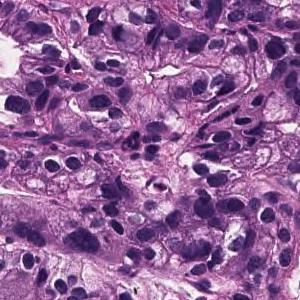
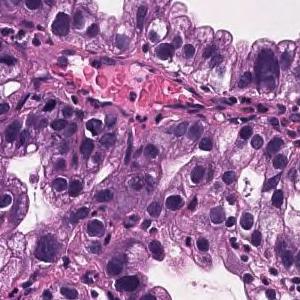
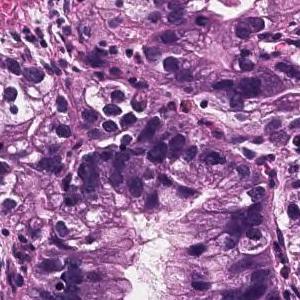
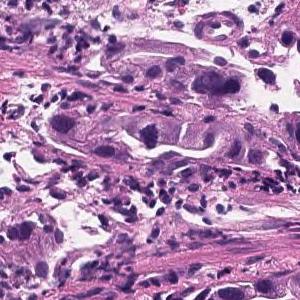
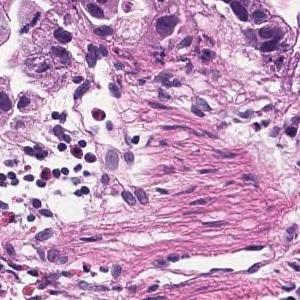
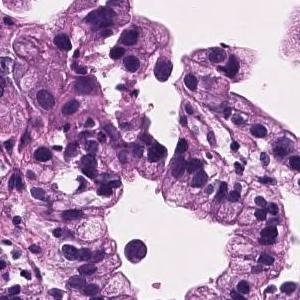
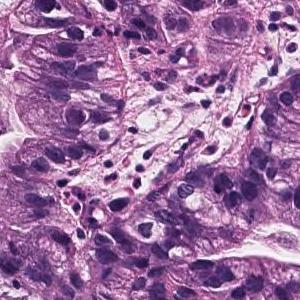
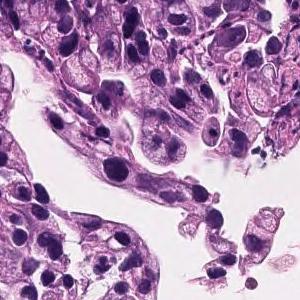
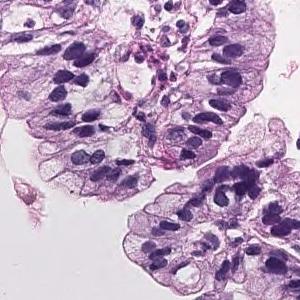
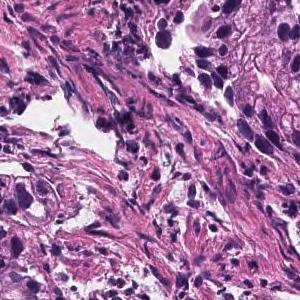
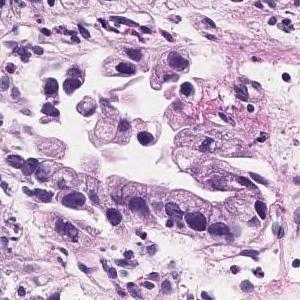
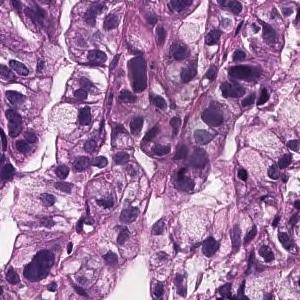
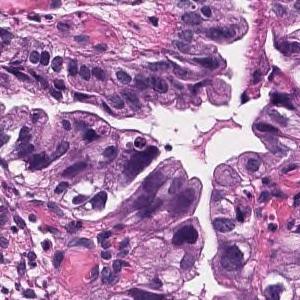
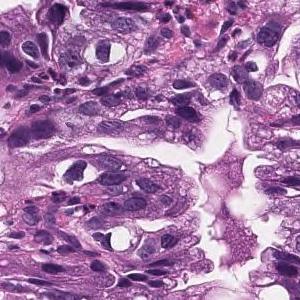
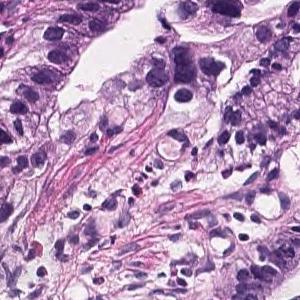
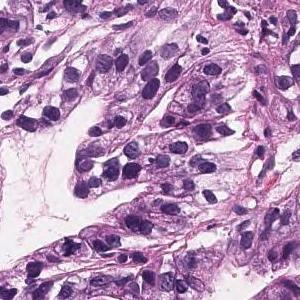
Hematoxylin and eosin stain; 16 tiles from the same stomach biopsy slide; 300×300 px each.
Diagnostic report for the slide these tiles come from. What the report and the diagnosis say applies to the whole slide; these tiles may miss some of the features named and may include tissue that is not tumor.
Tumor cells are large, highly columnar, large club-shaped nuclei, and are associated with chromatin aggregation. Papillary adenocarcinoma.
